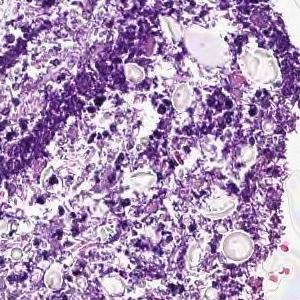
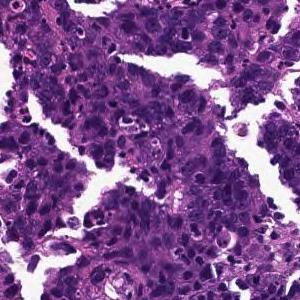
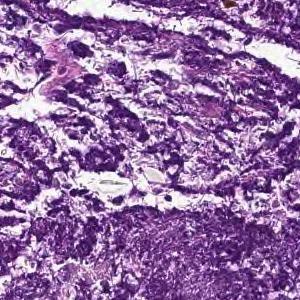
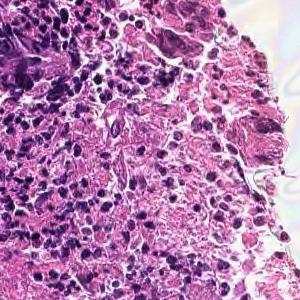
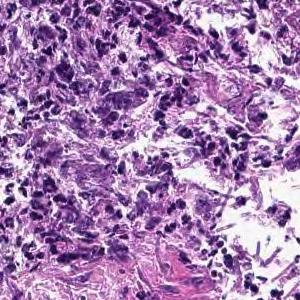
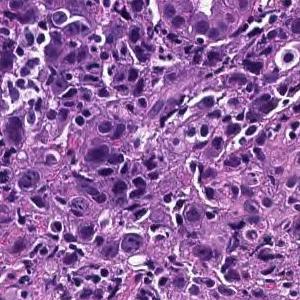
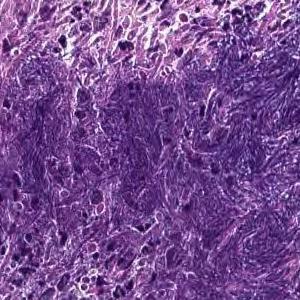
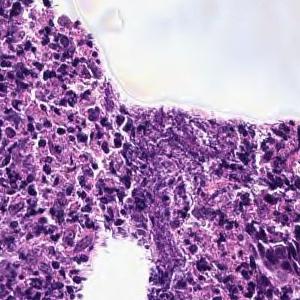
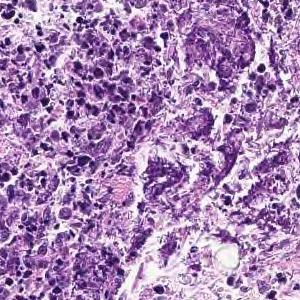
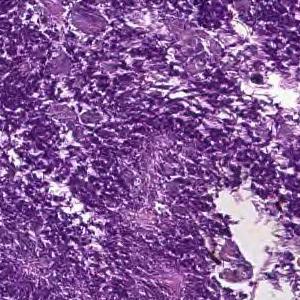
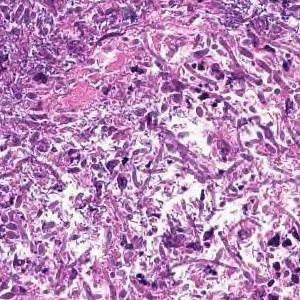
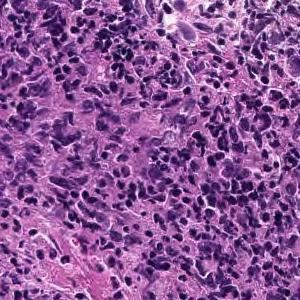
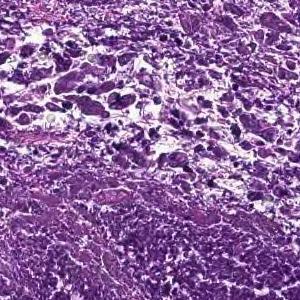
Hematoxylin and eosin stain; 20× magnification; 13 tiles from the same stomach biopsy slide; 300 × 300 pixels each.
The pathologist's report on the biopsy slide these tiles were taken from. The report describes the whole slide, diagnosis included: not every finding it names need appear in these tiles, which may also show non-tumor tissue.
Cancers with polygonal nuclei do not show glandular formation and are densely, in part, cord-like and proliferate. Poorly differentiated adenocarcinoma
Subtype: Poorly differentiated adenocarcinoma, non-solid type.
"Non-solid type" is a category of the Japanese Classification of Gastric Carcinoma.
